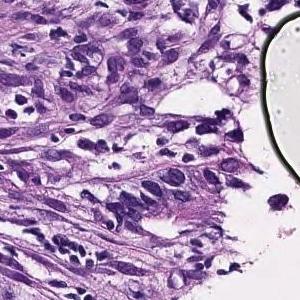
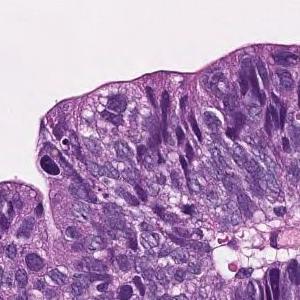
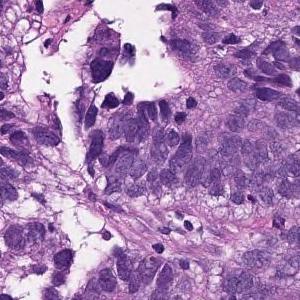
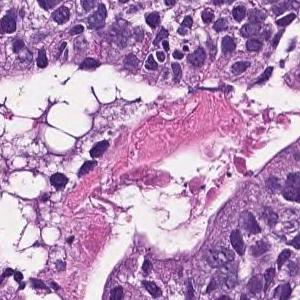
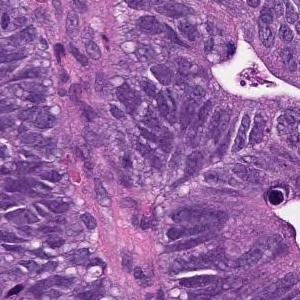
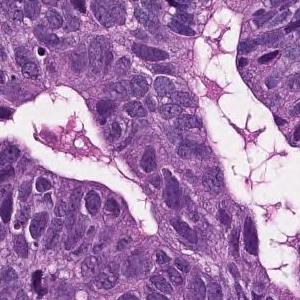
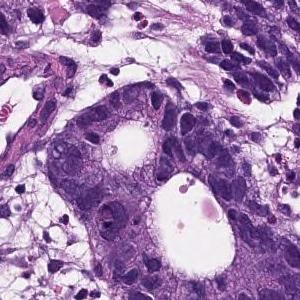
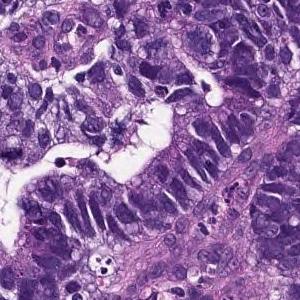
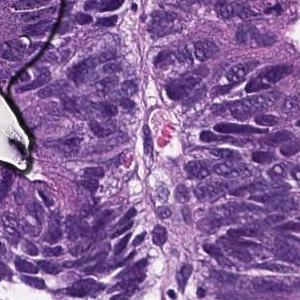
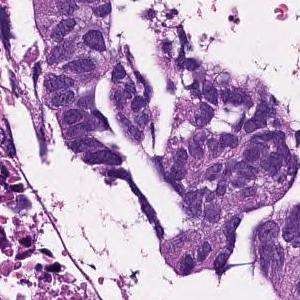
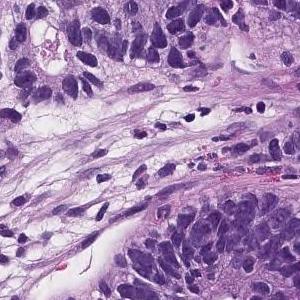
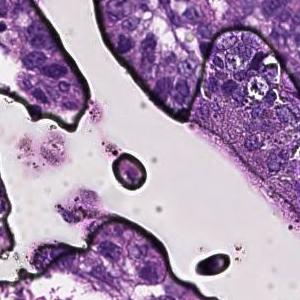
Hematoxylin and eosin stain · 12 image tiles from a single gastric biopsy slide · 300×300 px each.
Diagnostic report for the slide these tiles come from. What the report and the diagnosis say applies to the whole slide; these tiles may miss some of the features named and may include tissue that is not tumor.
In the superficial epithelium, tumor tissue that invades by forming medium-sized to small, irregular ducts is observed. moderately differentiated tubular adenocarcinoma.
